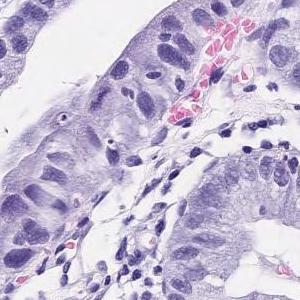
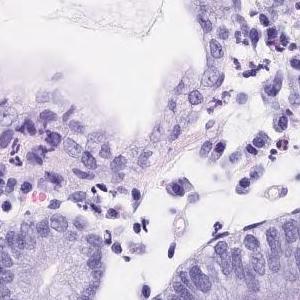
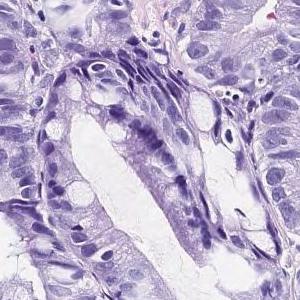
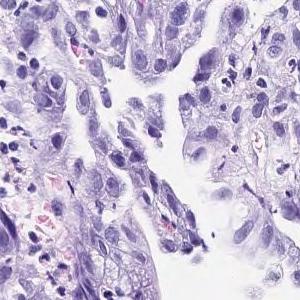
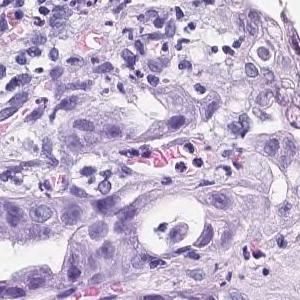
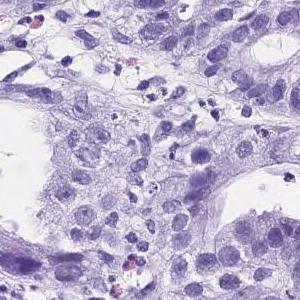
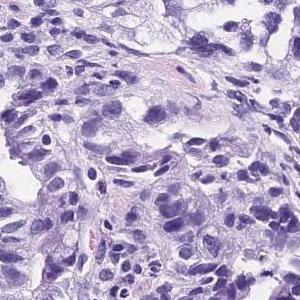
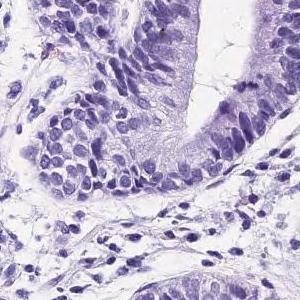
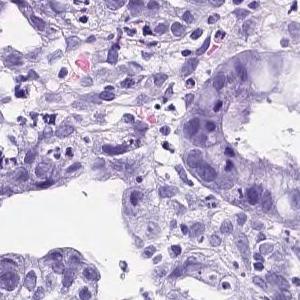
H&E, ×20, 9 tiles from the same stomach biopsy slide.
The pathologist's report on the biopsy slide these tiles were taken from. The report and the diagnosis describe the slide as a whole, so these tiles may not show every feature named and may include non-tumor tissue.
Tumor tissue consisting of medium-sized and irregular ducts is observed infiltrating in the superficial epithelium. Tumor cells are highly columnar, with nuclei aligned basolaterally and polarized. Well differentiated tubular adenocarcinoma.
